7 tiles from the same stomach biopsy slide.
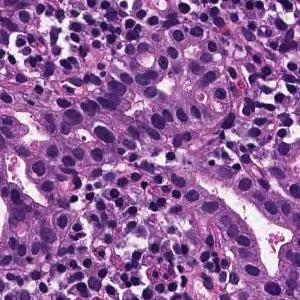
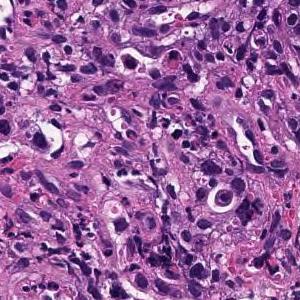
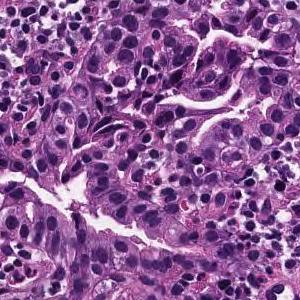
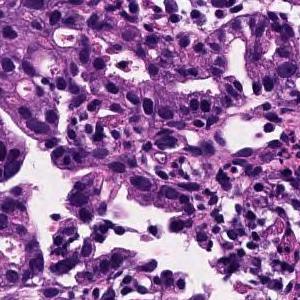
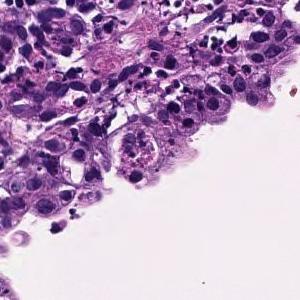
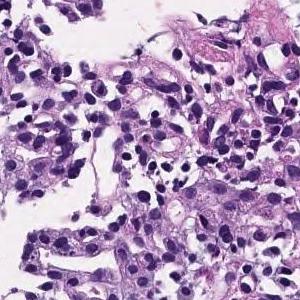
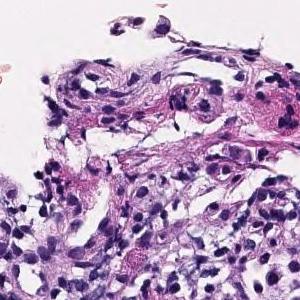
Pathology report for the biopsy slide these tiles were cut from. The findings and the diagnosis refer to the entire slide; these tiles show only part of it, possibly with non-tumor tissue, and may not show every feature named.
Medium to small, irregular glandular ducts are formed in the superficial epithelium, and in some cases, the glandular ducts are fused to show solid alveolar lesions and infiltrating tumor tissue is observed. Moderately to poorly differentiated adenocarcinoma.
